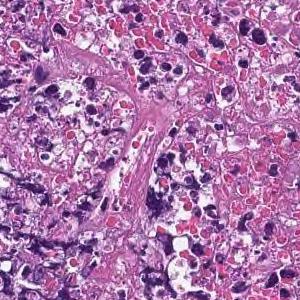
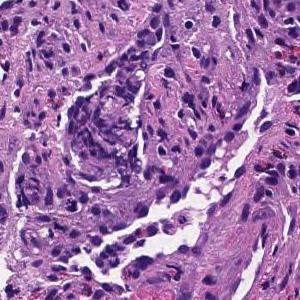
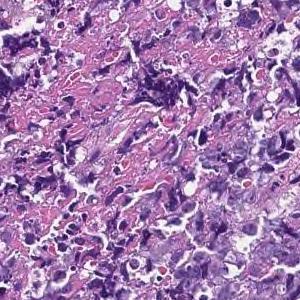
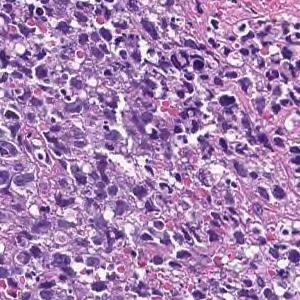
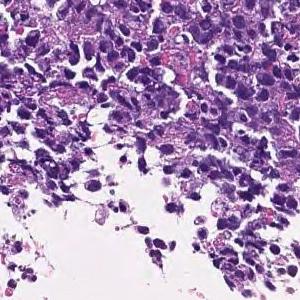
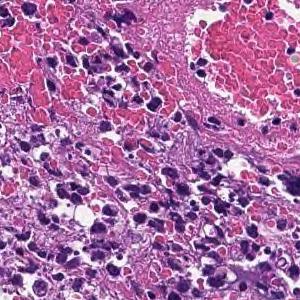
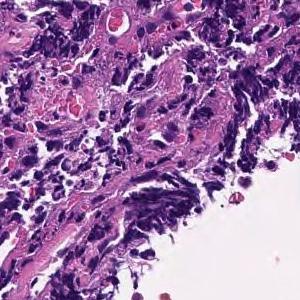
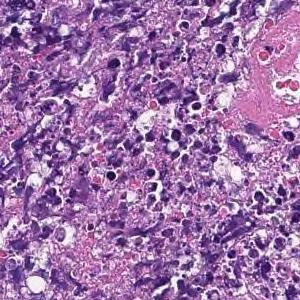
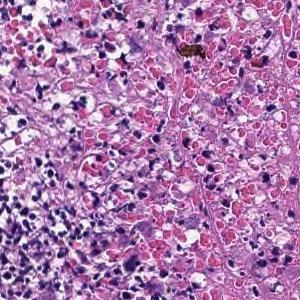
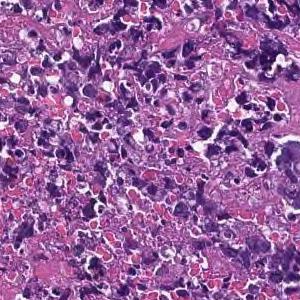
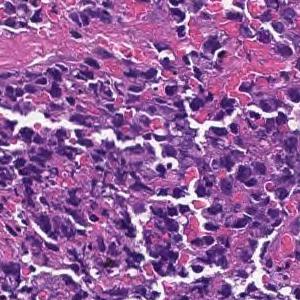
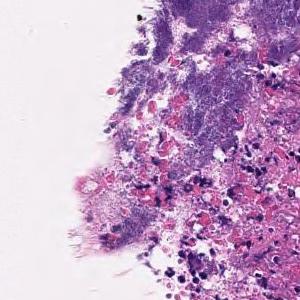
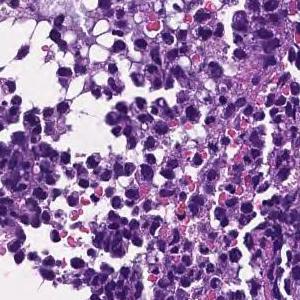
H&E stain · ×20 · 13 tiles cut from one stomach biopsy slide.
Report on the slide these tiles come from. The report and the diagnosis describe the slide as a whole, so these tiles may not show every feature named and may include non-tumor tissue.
Most are composed of coagulative necrotic tissue, but some show a large sheet-like shape, and some show tumor tissue infiltrating with a small cord-like structure. Poorly differentiated adenocarcinoma, solid-type
Histological subtype: Poorly differentiated adenocarcinoma, solid type. This name comes from the Japanese Classification of Gastric Carcinoma; the WHO 2019 classification calls it tubular adenocarcinoma, poorly differentiated.
